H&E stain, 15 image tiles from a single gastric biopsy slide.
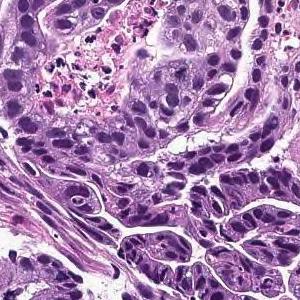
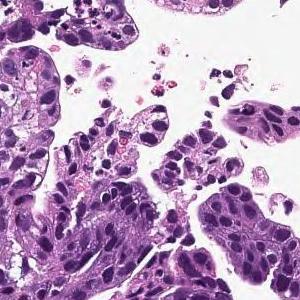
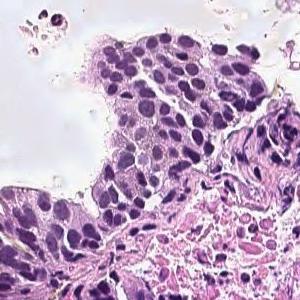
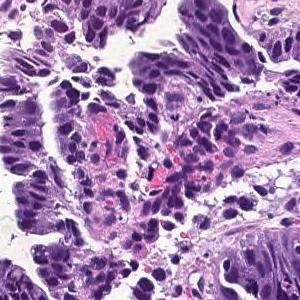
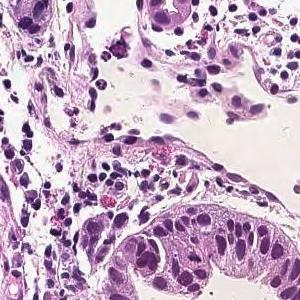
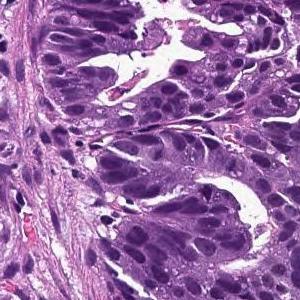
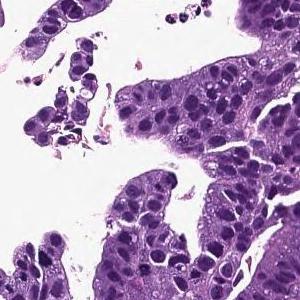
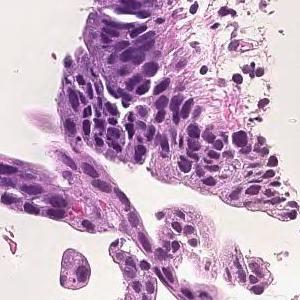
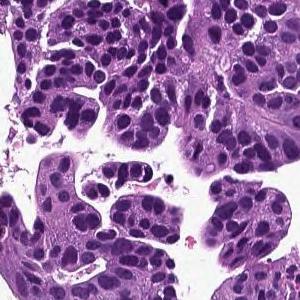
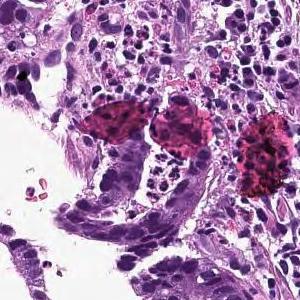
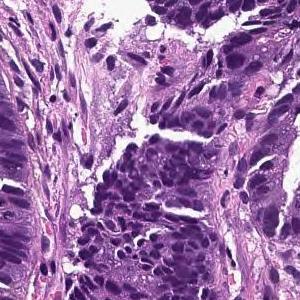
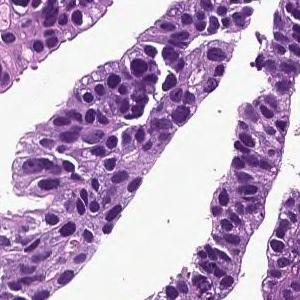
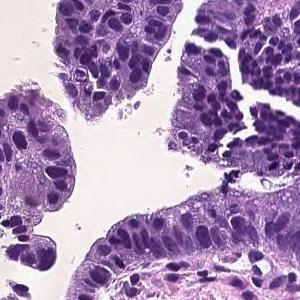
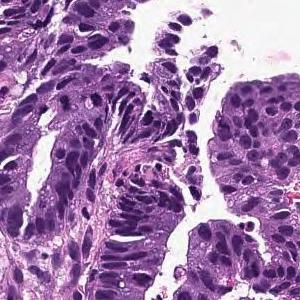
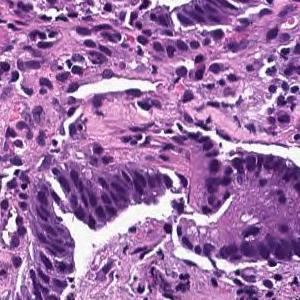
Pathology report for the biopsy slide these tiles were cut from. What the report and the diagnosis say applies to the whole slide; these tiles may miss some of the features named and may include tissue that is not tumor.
Tumor cells are large, highly columnar, large club-shaped nuclei, and are associated with chromatin aggregation. Papillary adenocarcinoma.
